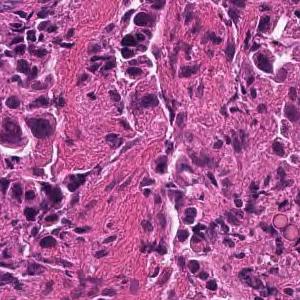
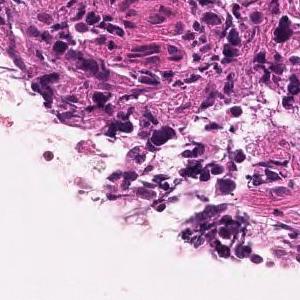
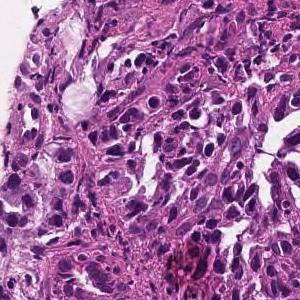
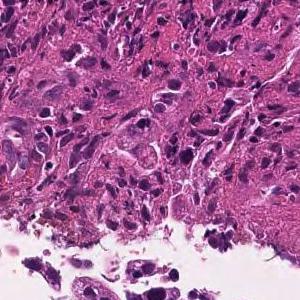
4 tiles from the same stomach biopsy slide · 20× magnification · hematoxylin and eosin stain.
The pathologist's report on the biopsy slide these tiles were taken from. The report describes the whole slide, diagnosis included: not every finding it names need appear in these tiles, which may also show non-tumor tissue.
In the superficial epithelium, tumor tissue that invades by forming medium-sized to small, irregular ducts is observed. moderately differentiated tubular adenocarcinoma.
